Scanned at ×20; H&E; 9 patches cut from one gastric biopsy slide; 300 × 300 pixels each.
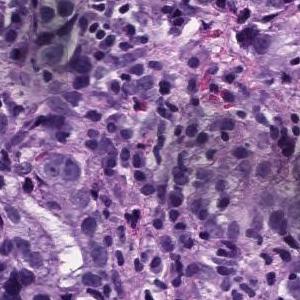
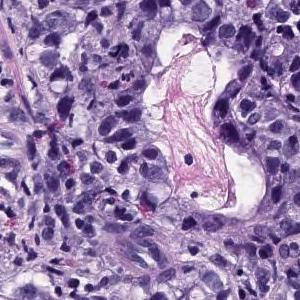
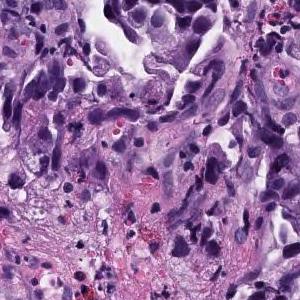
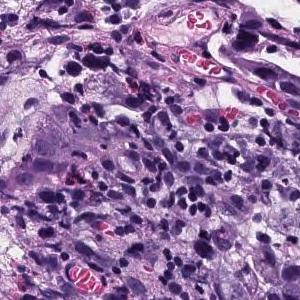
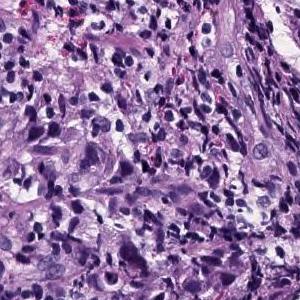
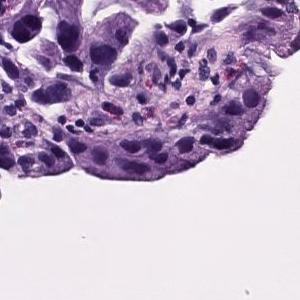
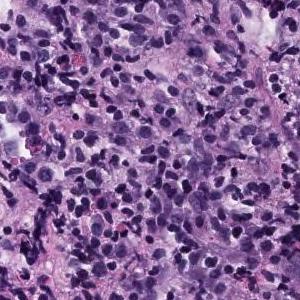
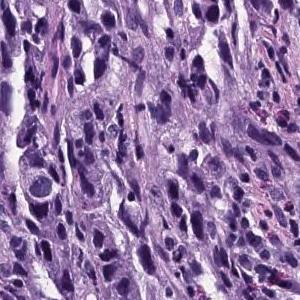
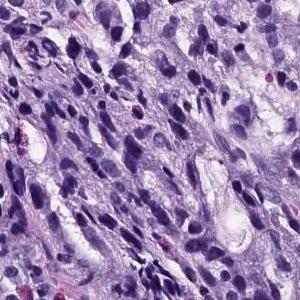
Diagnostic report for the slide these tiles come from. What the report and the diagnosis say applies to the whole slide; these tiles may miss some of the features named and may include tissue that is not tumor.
Atypical epithelial cells infiltrating and proliferating while forming solid or cord-like fused glandular cavities of different sizes is observed. moderately differentiated tubular adenocarcinoma, poorly differentiated adenocarcinoma.
Tumor subtype: moderately to poorly differentiated adenocarcinoma.
